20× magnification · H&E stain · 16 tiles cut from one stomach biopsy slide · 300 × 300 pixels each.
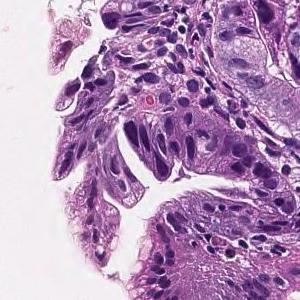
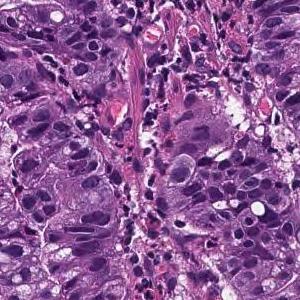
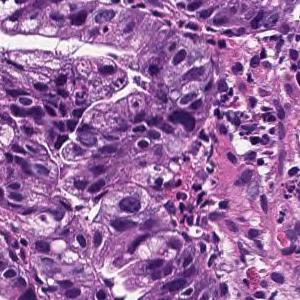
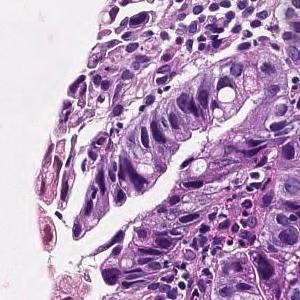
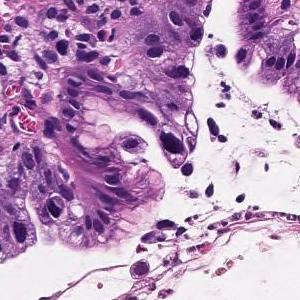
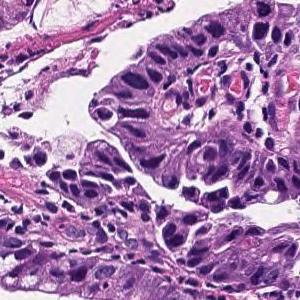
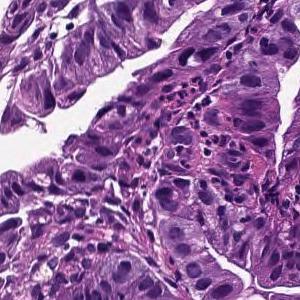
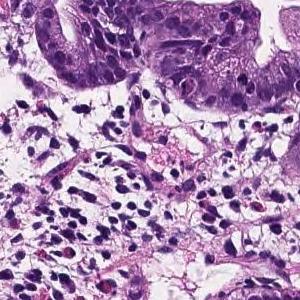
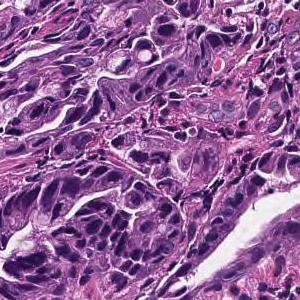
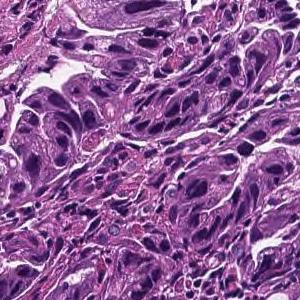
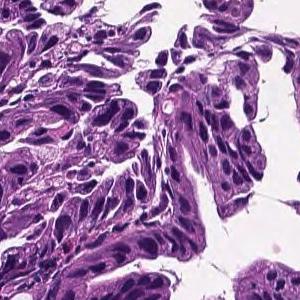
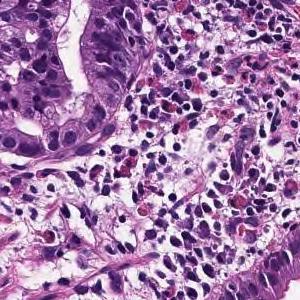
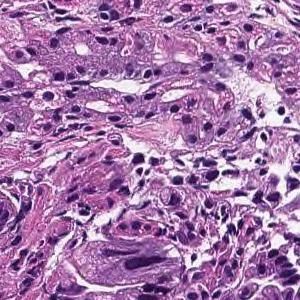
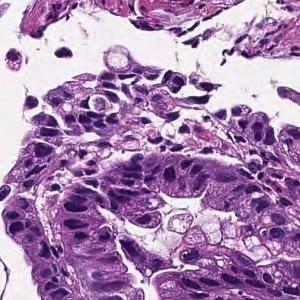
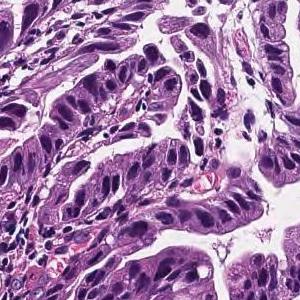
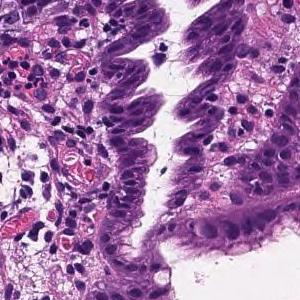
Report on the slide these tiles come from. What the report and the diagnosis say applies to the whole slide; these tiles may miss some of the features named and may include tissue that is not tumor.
Tumor cells are large, highly columnar, large club-shaped nuclei, and are associated with chromatin aggregation. Papillary adenocarcinoma.
